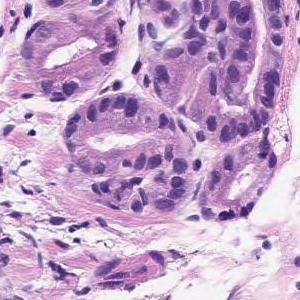
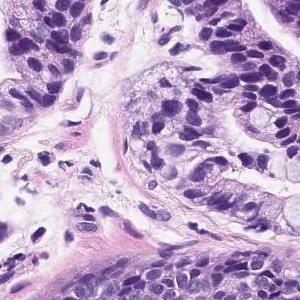
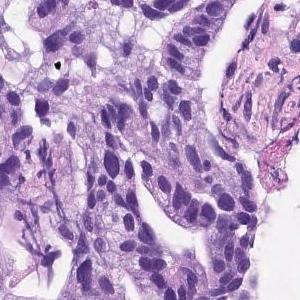
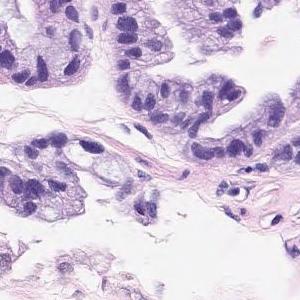
×20, H&E stain, 4 tiles from the same stomach biopsy slide.
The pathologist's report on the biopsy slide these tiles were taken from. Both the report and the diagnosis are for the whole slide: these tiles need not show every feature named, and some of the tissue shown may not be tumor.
The superficial tumors shows large papillary structures or large and small ducts and infiltrates. Papillary adenocarcinoma.
